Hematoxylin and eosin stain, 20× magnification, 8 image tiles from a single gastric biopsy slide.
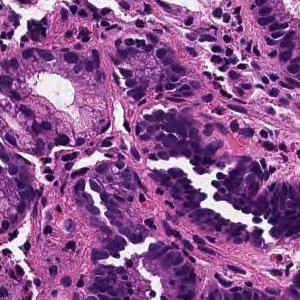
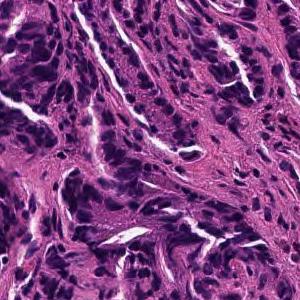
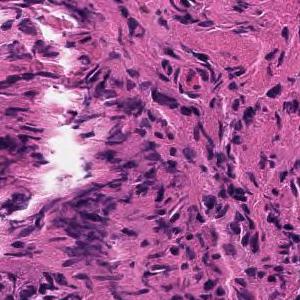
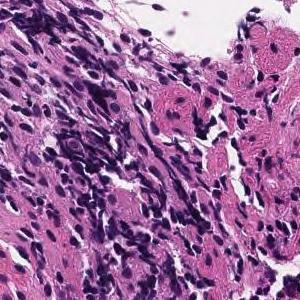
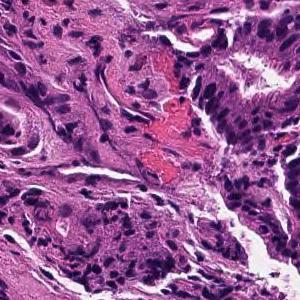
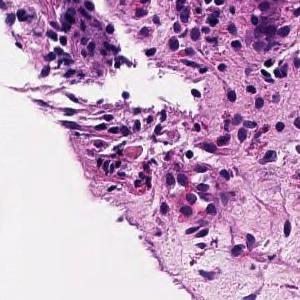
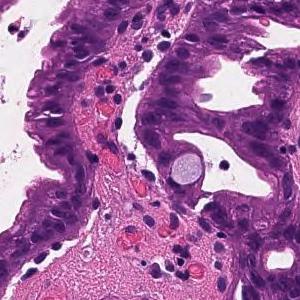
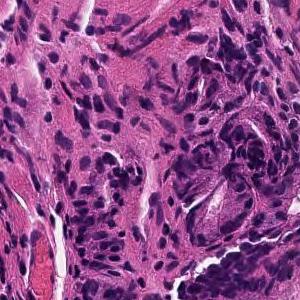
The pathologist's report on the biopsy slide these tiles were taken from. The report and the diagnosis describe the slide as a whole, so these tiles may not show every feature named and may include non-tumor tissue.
From the superficial epithelium to the muscularis mucosae, tumor tissue consisting of medium-sized and irregular glandular ducts infiltrating is observed. Well differentiated tubular adenocarcinoma
